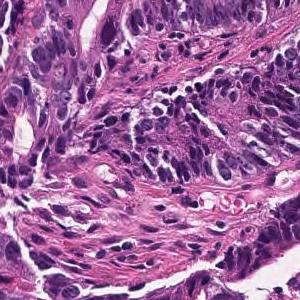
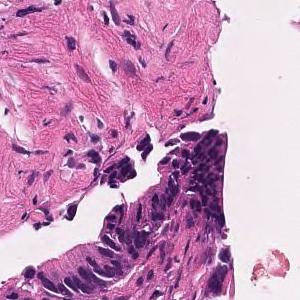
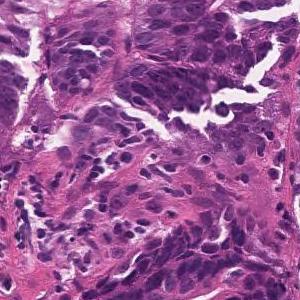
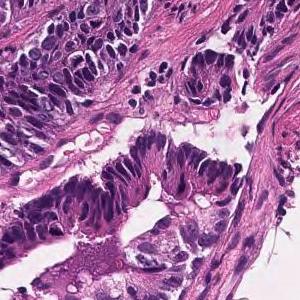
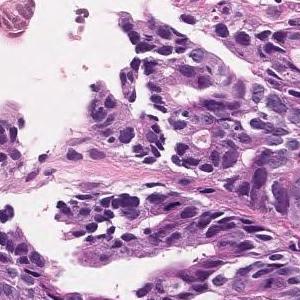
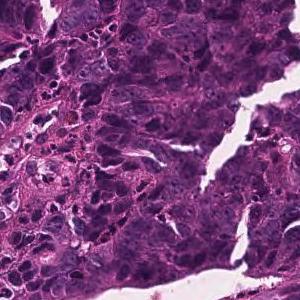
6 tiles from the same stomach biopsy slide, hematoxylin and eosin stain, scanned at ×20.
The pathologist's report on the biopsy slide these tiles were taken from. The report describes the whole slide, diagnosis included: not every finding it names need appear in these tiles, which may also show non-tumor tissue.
In the superficial epithelium, tumor tissue that invades by forming medium-sized to small, irregular ducts is observed. moderately differentiated tubular adenocarcinoma.
